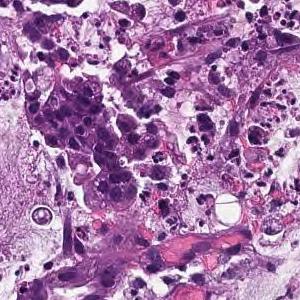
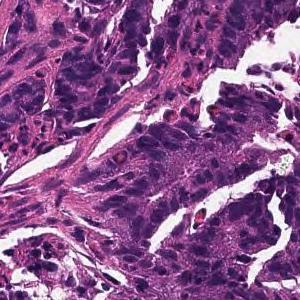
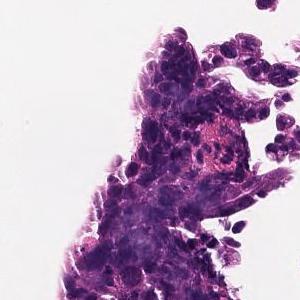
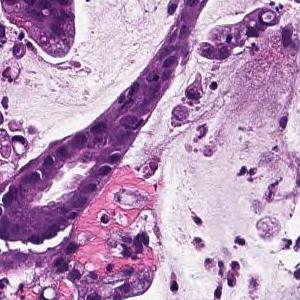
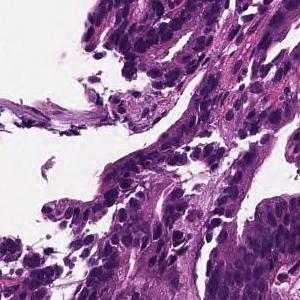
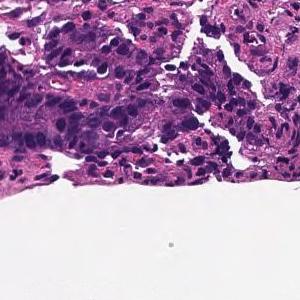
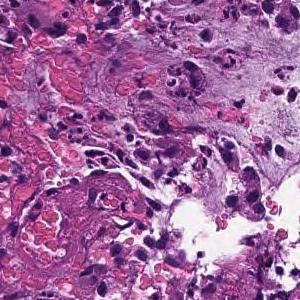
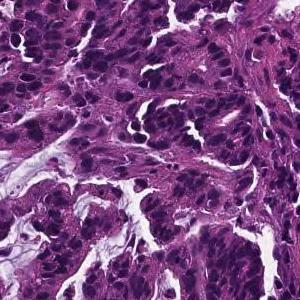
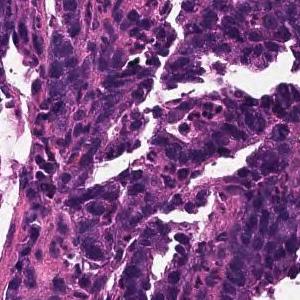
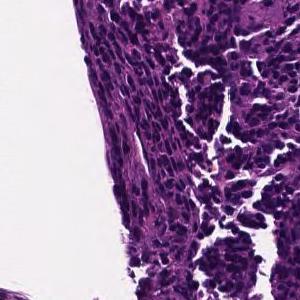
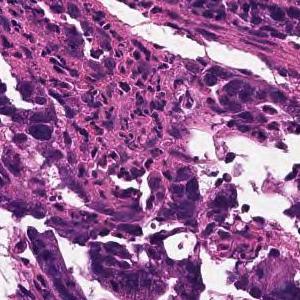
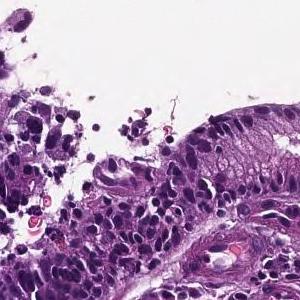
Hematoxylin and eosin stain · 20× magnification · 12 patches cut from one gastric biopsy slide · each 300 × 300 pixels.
Pathology report for the biopsy slide these tiles were cut from. The report and the diagnosis cover the entire slide, so not every feature they name need be visible here, and some tissue shown may not be tumor.
On the superficial epithelium, tumor tissue consisting of large irregular glandular ducts partially fused and infiltrated is observed. Well to moderately differentiated tubular adenocarcinoma (well differentiated tubular adenocarcinoma, moderately differentiated tubular adenocarcinoma)
Histologic type: Well to moderately differentiated tubular adenocarcinoma.
